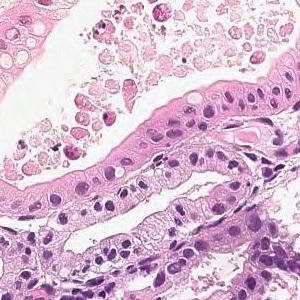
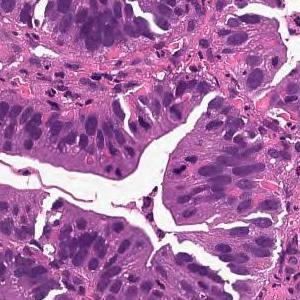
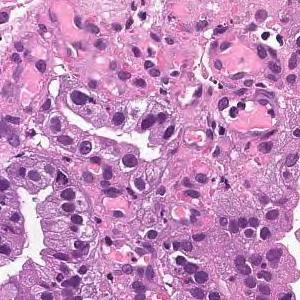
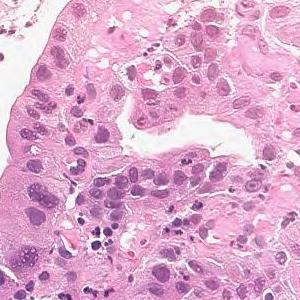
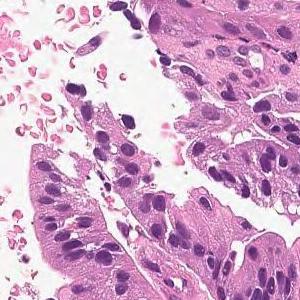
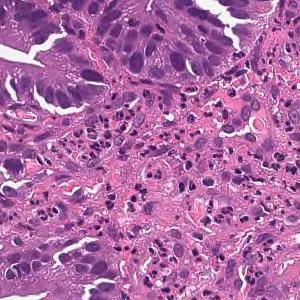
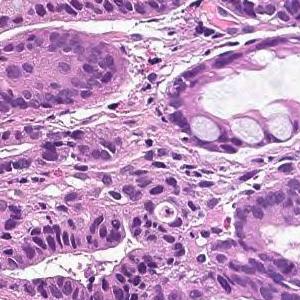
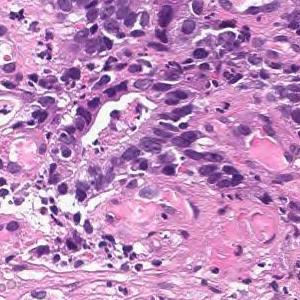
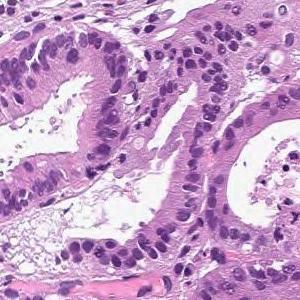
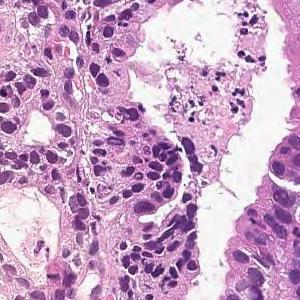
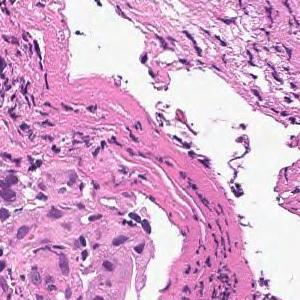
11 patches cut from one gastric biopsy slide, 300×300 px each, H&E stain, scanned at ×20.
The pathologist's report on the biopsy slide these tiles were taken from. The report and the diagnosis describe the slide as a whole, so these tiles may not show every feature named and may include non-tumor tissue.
From the superficial epithelium to the muscularis mucosae, tumor tissue consisting of medium-sized and irregular glandular ducts infiltrating is observed. Well differentiated tubular adenocarcinoma
